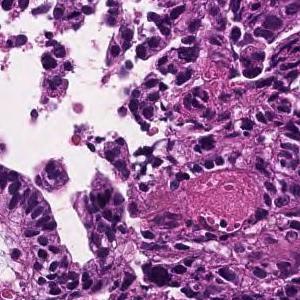
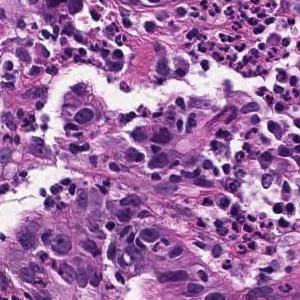
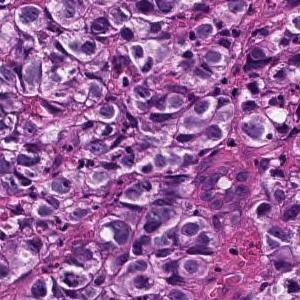
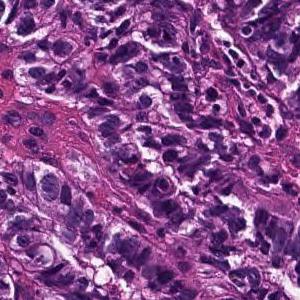
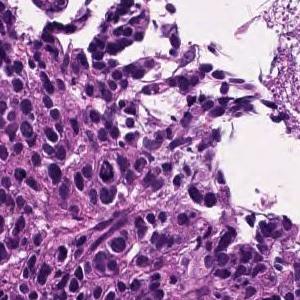
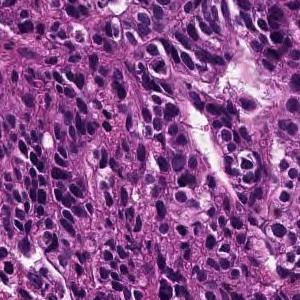
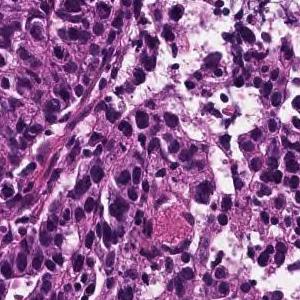
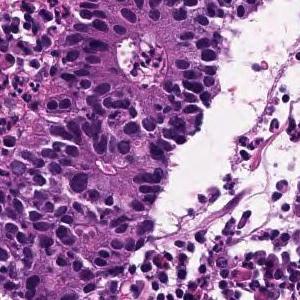
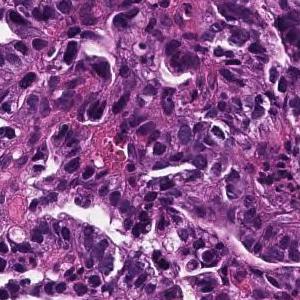
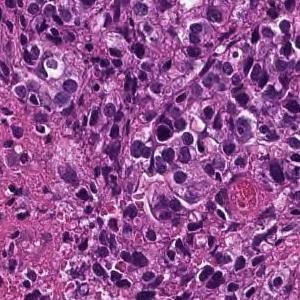
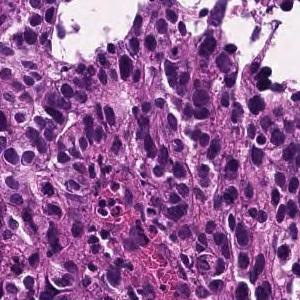
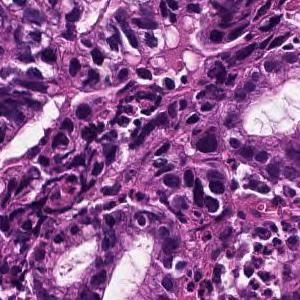
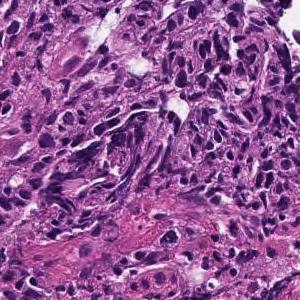
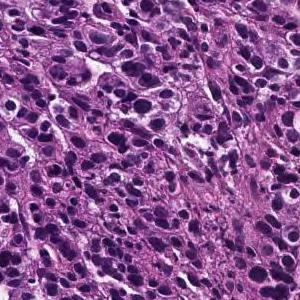
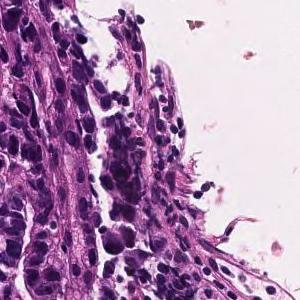
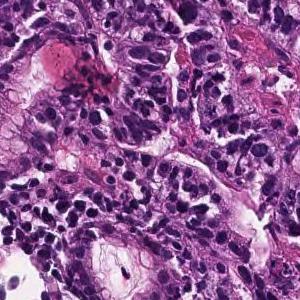
16 patches cut from one gastric biopsy slide · each 300 × 300 pixels · H&E.
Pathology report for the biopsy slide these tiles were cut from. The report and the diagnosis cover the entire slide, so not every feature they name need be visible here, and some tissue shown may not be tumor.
In the superficial epithelium, tumor tissue that invades by forming medium-sized to small, irregular ducts is observed. moderately differentiated tubular adenocarcinoma.
